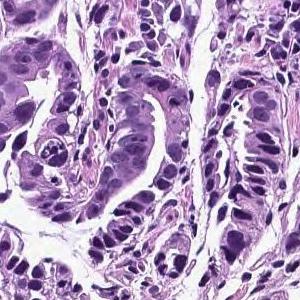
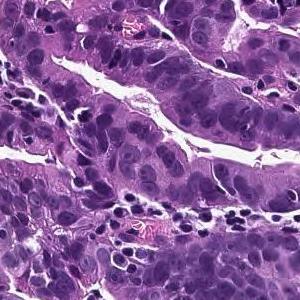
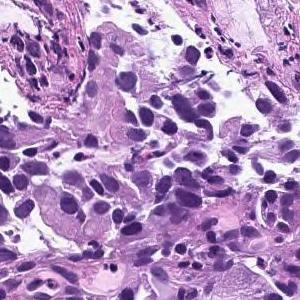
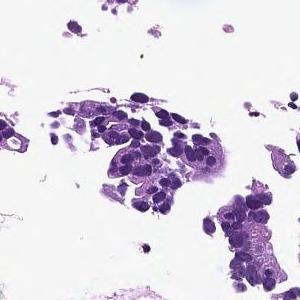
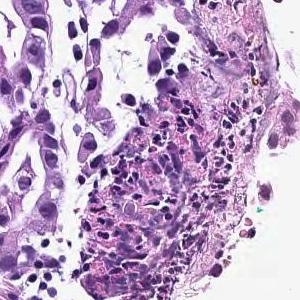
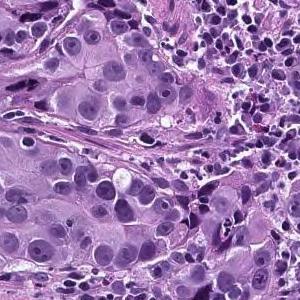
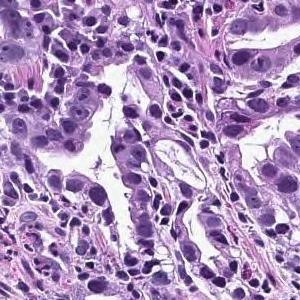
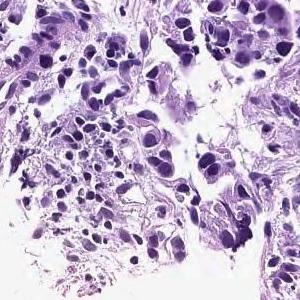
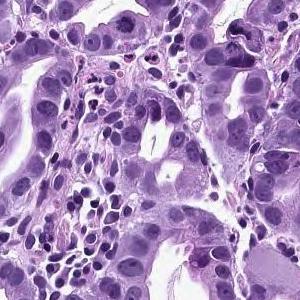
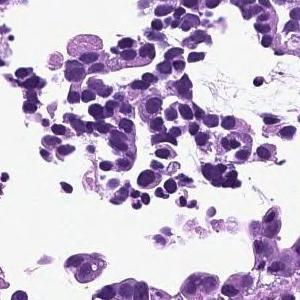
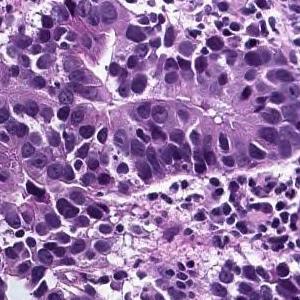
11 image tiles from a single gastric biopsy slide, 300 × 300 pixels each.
Pathology report for the slide these tiles were cut from. The report and the diagnosis cover the entire slide, so not every feature they name need be visible here, and some tissue shown may not be tumor.
In the superficial epithelium, tumor tissue that invades by forming medium-sized to small, irregular ducts is observed. moderately differentiated tubular adenocarcinoma.
